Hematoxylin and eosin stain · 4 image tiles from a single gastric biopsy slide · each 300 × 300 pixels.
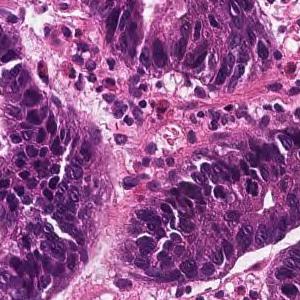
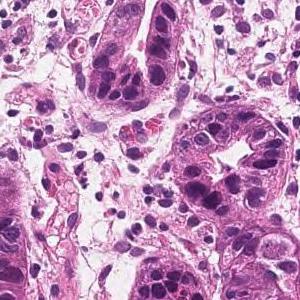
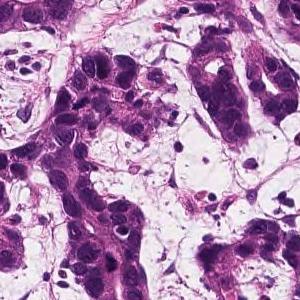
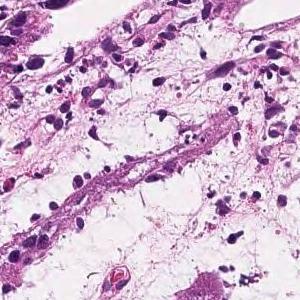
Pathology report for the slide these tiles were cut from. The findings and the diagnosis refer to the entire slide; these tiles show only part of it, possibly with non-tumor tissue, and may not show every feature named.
In the superficial epithelium, tumor tissue that invades by forming medium-sized to small, irregular ducts is observed. Well differentiated tubular adenocarcinoma.
